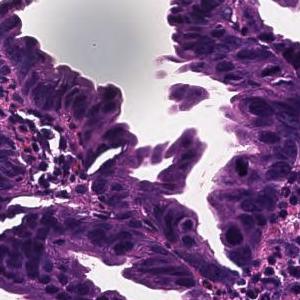
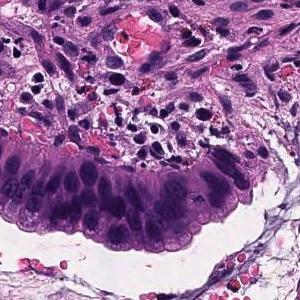
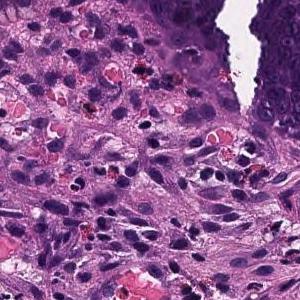
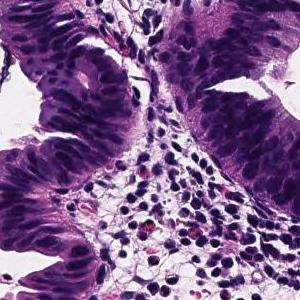
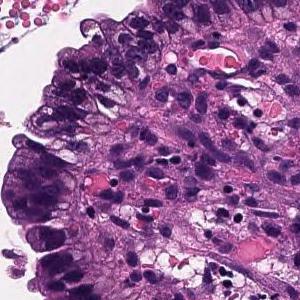
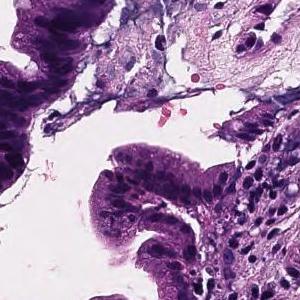
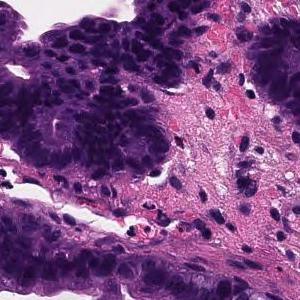
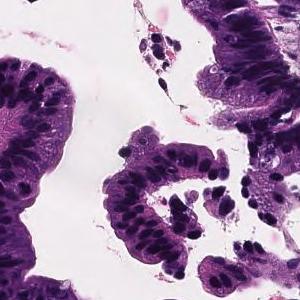
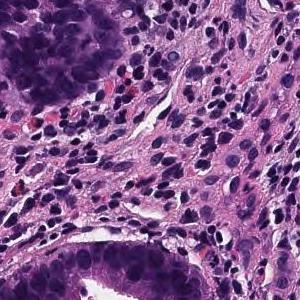
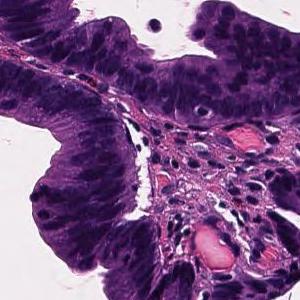
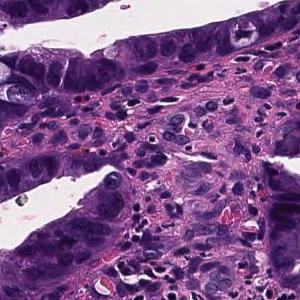
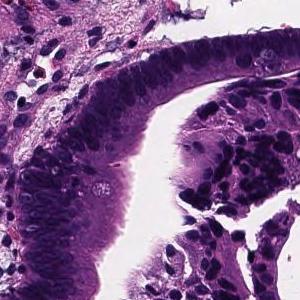
H&E stain, 12 tiles cut from one stomach biopsy slide.
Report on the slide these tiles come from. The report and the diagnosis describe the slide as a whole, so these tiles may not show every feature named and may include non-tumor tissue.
Tumor cells are large, highly columnar, large club-shaped nuclei, and are associated with chromatin aggregation. Papillary adenocarcinoma.
